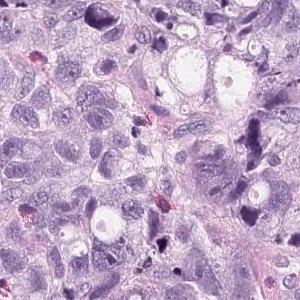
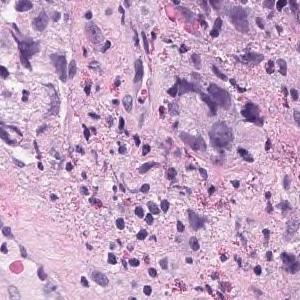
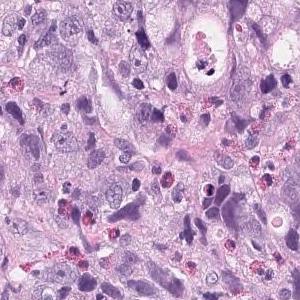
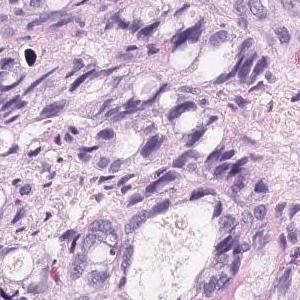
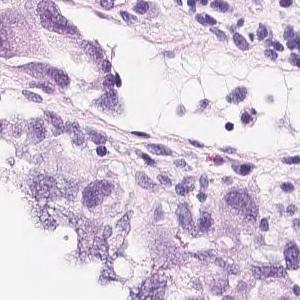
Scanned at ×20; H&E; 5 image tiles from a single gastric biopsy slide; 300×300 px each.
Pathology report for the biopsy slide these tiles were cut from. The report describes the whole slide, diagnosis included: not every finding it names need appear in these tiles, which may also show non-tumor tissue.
Tumor tissue that infiltrates and proliferates by forming small glandular cavities in the superficial layer to the submucosa or forming a mass is observed. moderately differentiated tubular adenocarcinoma
